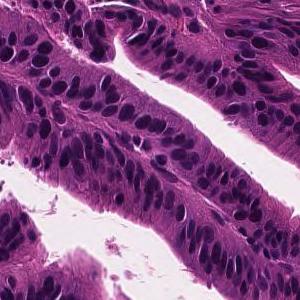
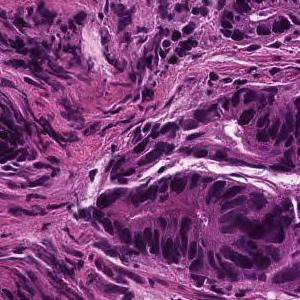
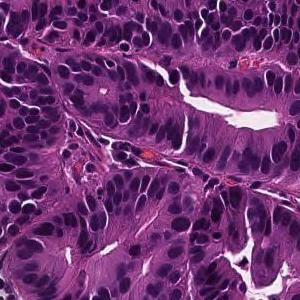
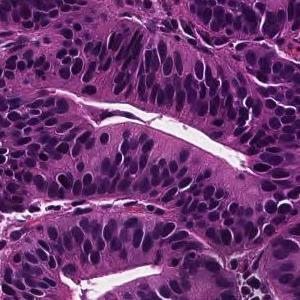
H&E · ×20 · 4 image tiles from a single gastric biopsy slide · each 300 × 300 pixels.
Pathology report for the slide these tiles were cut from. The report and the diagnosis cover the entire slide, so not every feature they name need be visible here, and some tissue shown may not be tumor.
From the superficial epithelium to the muscularis mucosae, tumor tissue consisting of medium-sized and irregular glandular ducts infiltrating is observed. Well differentiated tubular adenocarcinoma
